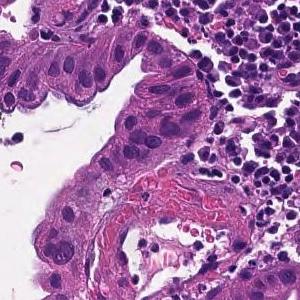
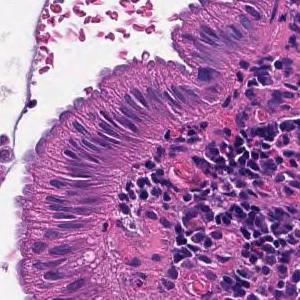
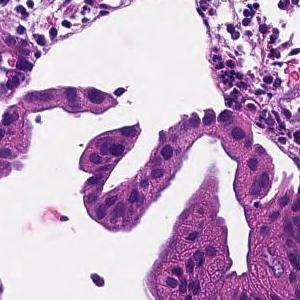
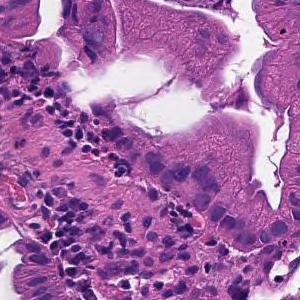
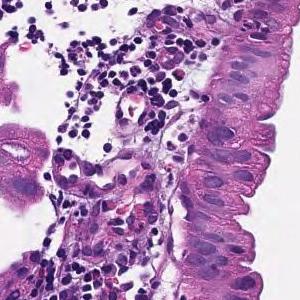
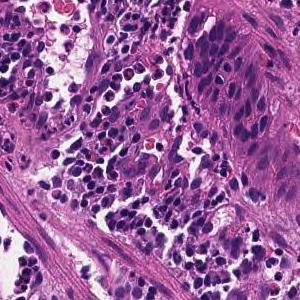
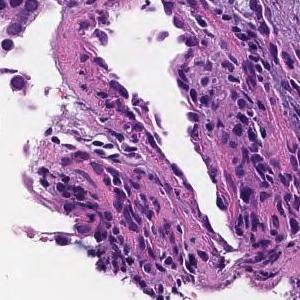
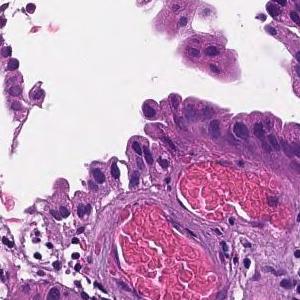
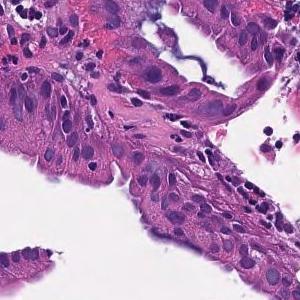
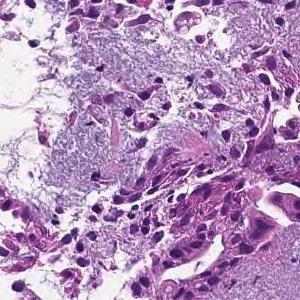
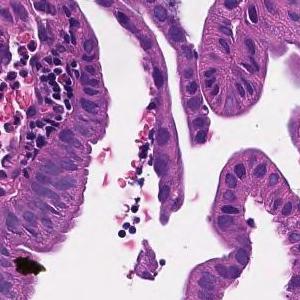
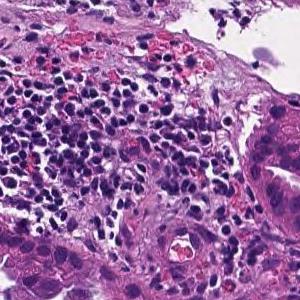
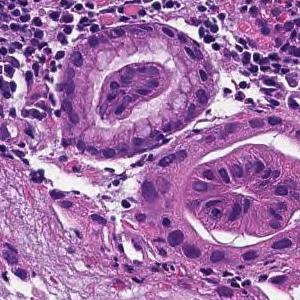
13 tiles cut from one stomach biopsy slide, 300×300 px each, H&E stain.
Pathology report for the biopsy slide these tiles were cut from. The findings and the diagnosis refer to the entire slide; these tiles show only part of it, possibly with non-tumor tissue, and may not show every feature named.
On the superficial epithelium, tumor tissue that infiltrates by forming medium-sized papillary or small irregular ducts is observed. Papillary adenocarcinoma
